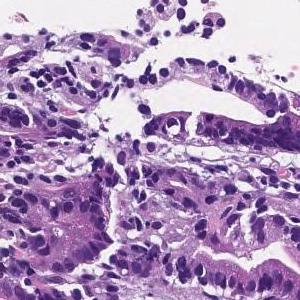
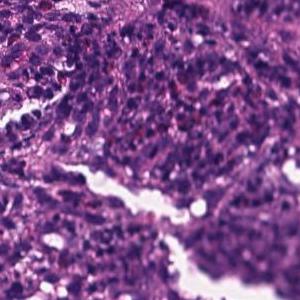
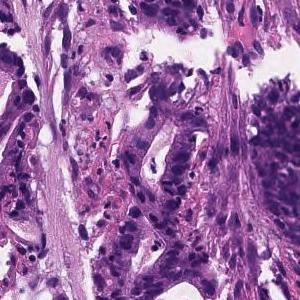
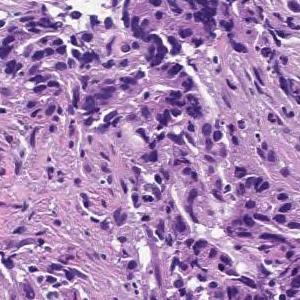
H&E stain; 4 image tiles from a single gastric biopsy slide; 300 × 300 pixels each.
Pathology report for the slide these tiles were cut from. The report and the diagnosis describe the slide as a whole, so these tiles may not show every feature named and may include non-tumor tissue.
On the superficial epithelium, tumor tissue consisting of large irregular glandular ducts partially fused and infiltrated is observed. Well to moderately differentiated tubular adenocarcinoma (well differentiated tubular adenocarcinoma, moderately differentiated tubular adenocarcinoma)
Classified as well to moderately differentiated tubular adenocarcinoma.
